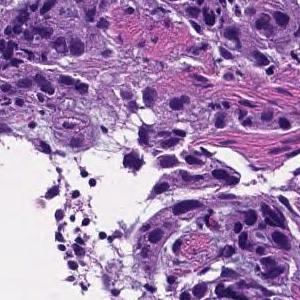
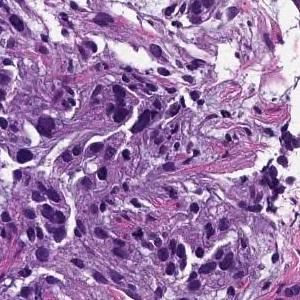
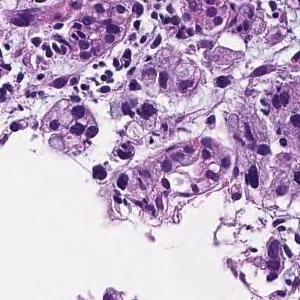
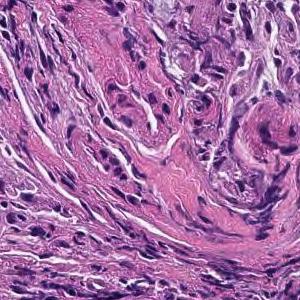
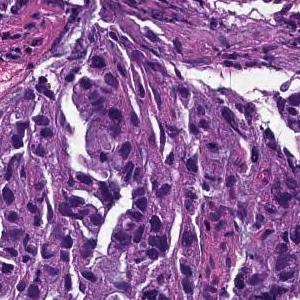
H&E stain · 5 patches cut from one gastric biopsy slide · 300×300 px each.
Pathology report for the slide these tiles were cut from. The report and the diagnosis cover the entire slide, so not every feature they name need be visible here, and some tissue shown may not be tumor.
Tumor tissue consisting of medium-sized, cord-like or irregular glandular infiltration is observed in the superficial epithelium. Poorly differentiated adenocarcinoma, non-solid type or moderately differentiated tubular adenocarcinoma
Histologic type: Moderately to poorly differentiated adenocarcinoma.
"Non-solid type" is a category of the Japanese Classification of Gastric Carcinoma.
